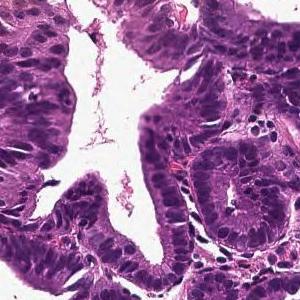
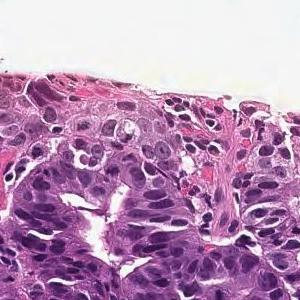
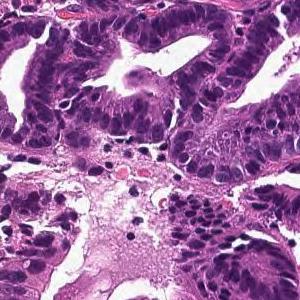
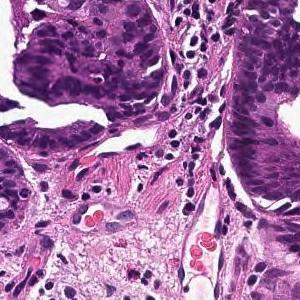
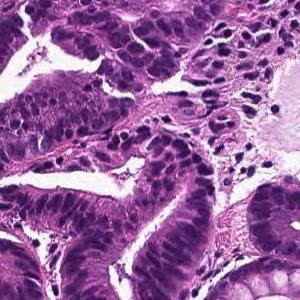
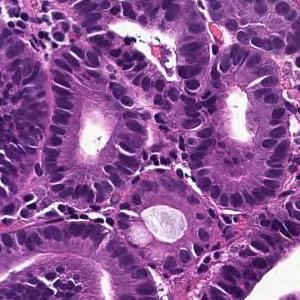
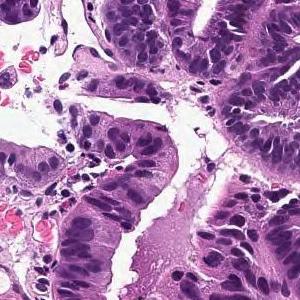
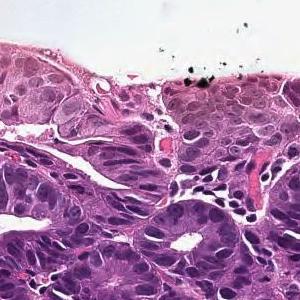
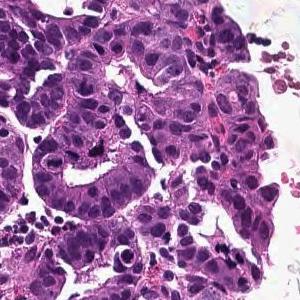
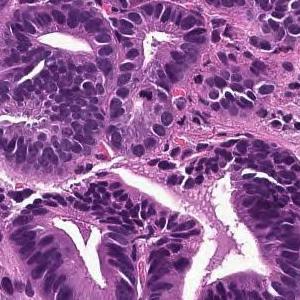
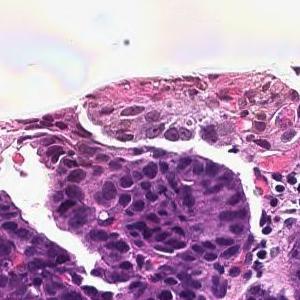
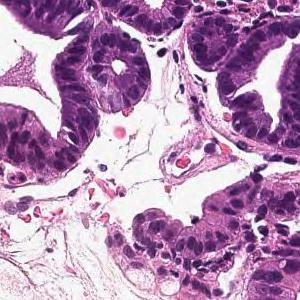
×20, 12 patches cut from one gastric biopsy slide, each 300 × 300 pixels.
Diagnostic report for the slide these tiles come from. The report and the diagnosis cover the entire slide, so not every feature they name need be visible here, and some tissue shown may not be tumor.
Tumor cells are large, highly columnar, large club-shaped nuclei, and are associated with chromatin aggregation. Papillary adenocarcinoma.
